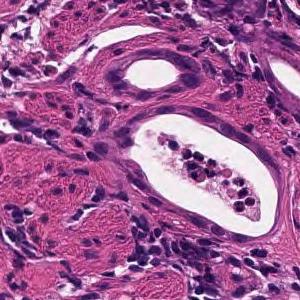
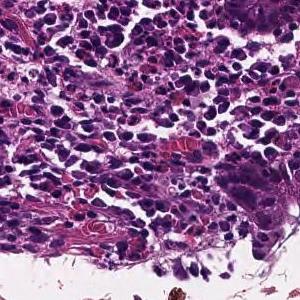
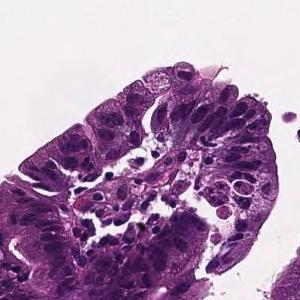
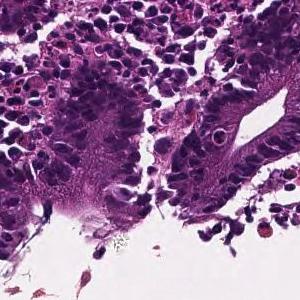
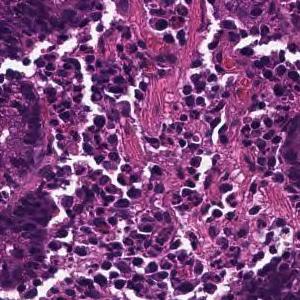
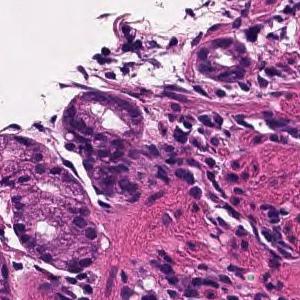
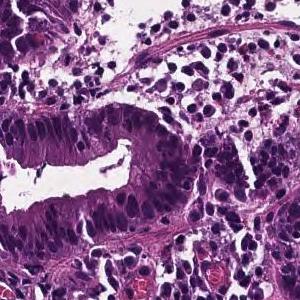
H&E stain · 20× magnification · 7 patches cut from one gastric biopsy slide.
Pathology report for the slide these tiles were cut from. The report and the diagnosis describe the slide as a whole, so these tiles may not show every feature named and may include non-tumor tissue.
From the superficial epithelium to the muscularis mucosae, tumor tissue consisting of medium-sized and irregular glandular ducts infiltrating is observed. Well differentiated tubular adenocarcinoma
